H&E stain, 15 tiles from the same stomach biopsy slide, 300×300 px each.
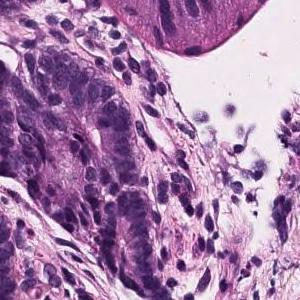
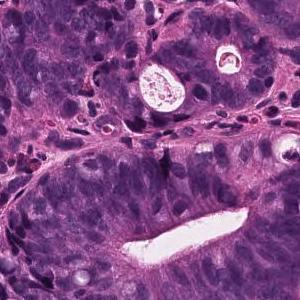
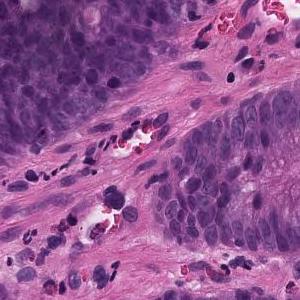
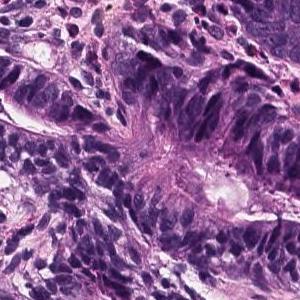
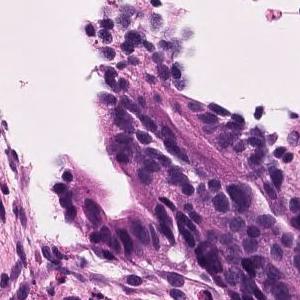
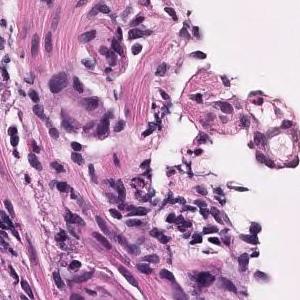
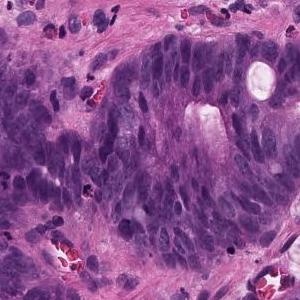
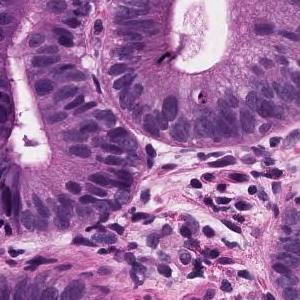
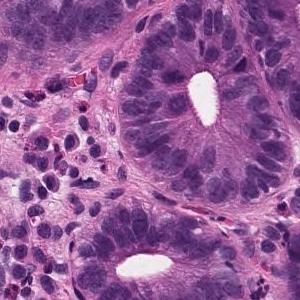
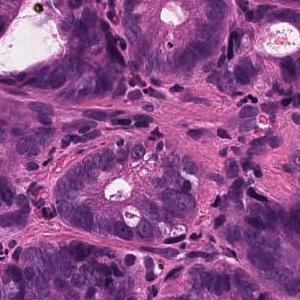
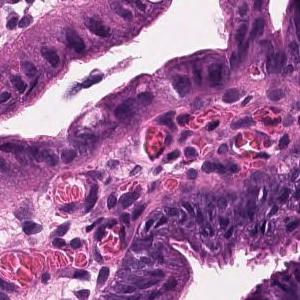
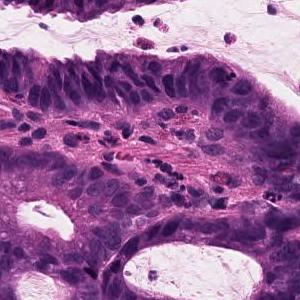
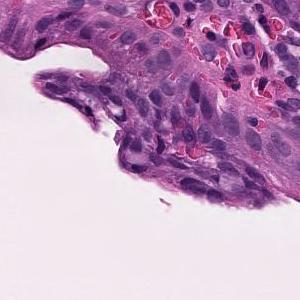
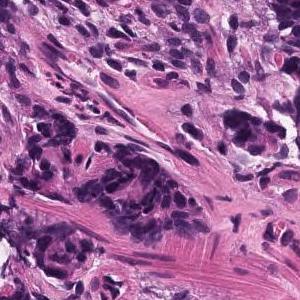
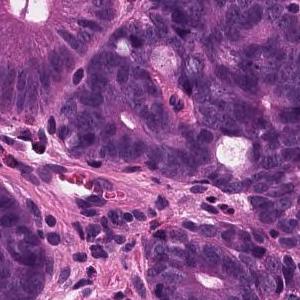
Report on the slide these tiles come from. The report and the diagnosis describe the slide as a whole, so these tiles may not show every feature named and may include non-tumor tissue.
Atypical ducts proliferating while irregularly fusing in the lateral direction is observed. Well differentiated tubular adenocarcinoma
